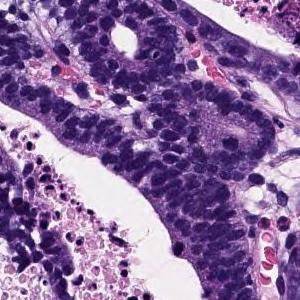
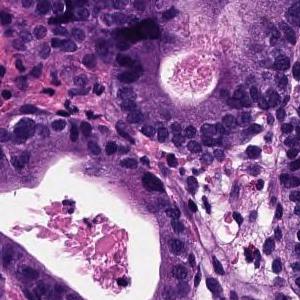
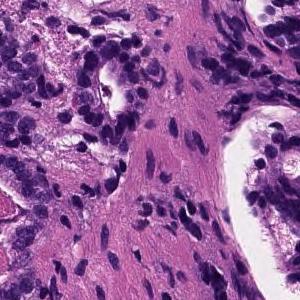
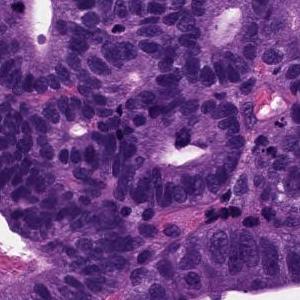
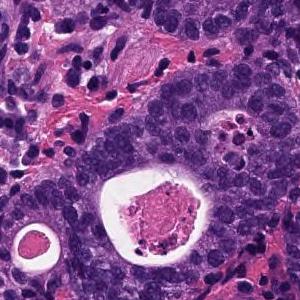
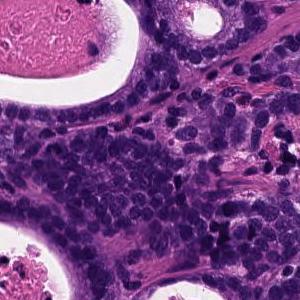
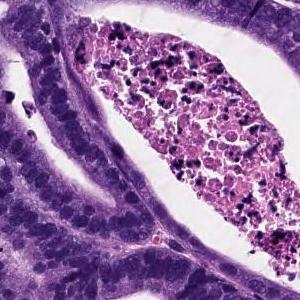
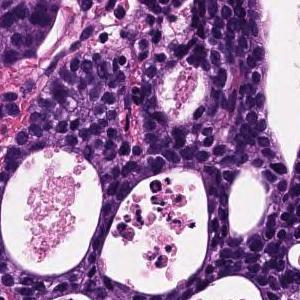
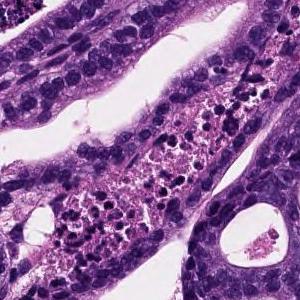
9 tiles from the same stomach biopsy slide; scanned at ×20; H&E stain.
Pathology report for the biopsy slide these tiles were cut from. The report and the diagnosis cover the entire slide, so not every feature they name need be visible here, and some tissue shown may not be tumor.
From the superficial epithelium to the muscularis mucosae, tumor tissue consisting of medium-sized and irregular glandular ducts infiltrating is observed. Well differentiated tubular adenocarcinoma
